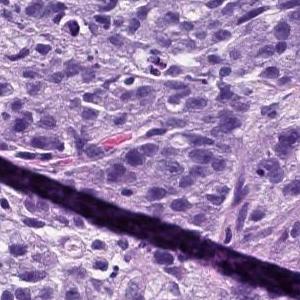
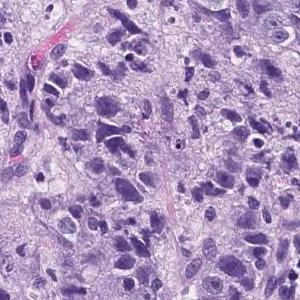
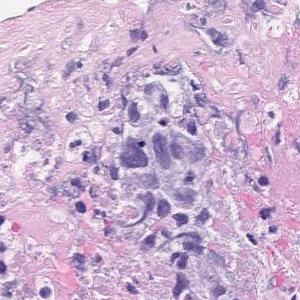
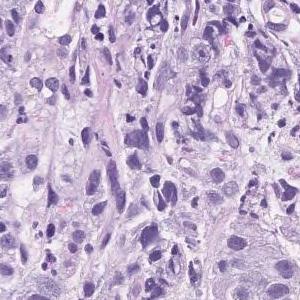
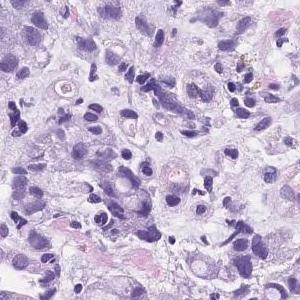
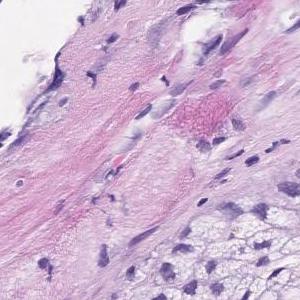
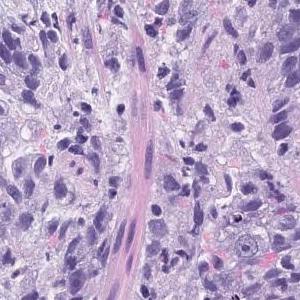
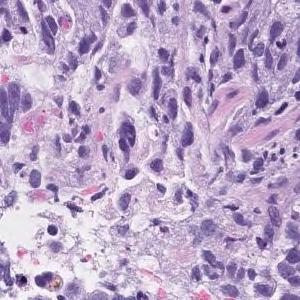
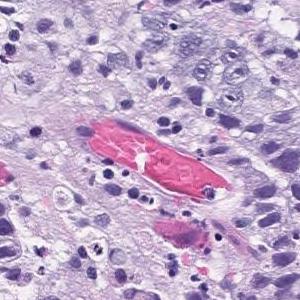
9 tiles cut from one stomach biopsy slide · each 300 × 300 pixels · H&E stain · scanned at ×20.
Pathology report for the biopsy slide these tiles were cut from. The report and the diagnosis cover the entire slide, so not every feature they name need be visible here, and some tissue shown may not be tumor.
Atypical l cells with atypical nuclei forming solid vesicles or small irregular atypical ducts that proliferate in a complex manner. poorly differentiated adenocarcinoma, solid type, moderately differentiated tubular adenocarcinoma
The term "solid type" comes from the Japanese Classification of Gastric Carcinoma; the WHO 2019 equivalent is tubular adenocarcinoma, poorly differentiated.
